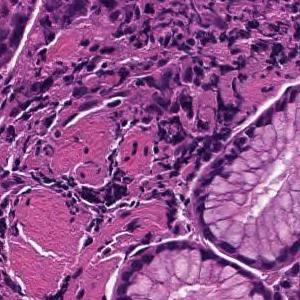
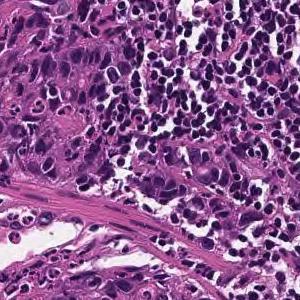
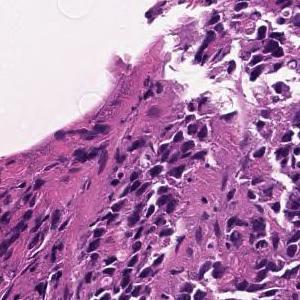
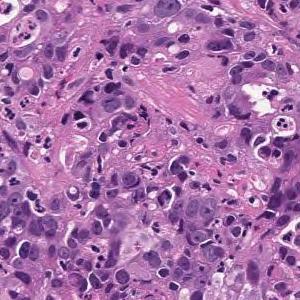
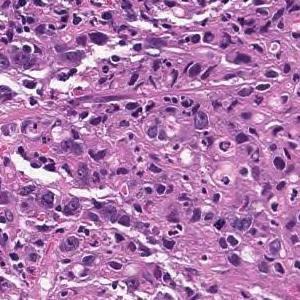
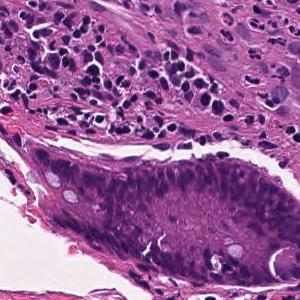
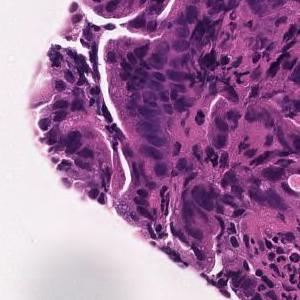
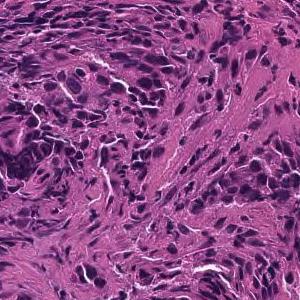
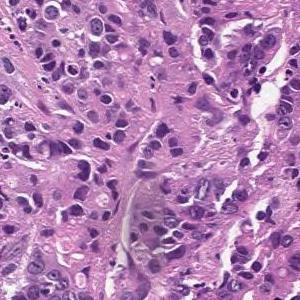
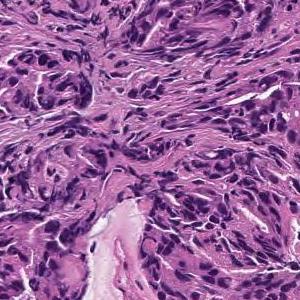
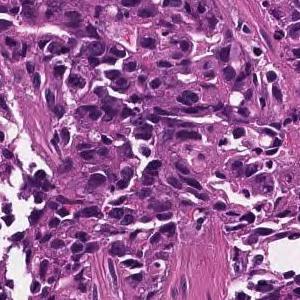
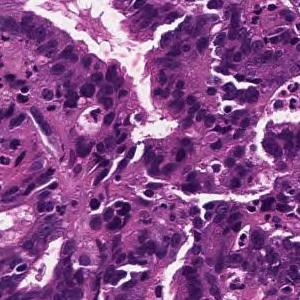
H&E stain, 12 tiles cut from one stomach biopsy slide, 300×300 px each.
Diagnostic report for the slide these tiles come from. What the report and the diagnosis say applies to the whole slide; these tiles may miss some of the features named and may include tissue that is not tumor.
In the superficial epithelium, tumor tissue that invades by forming medium-sized to small, irregular ducts is observed. moderately differentiated tubular adenocarcinoma.
